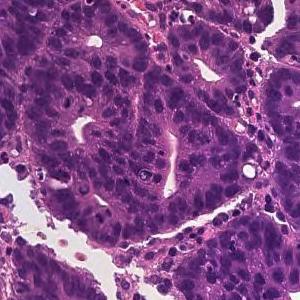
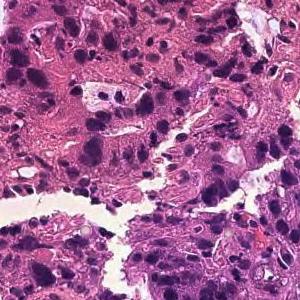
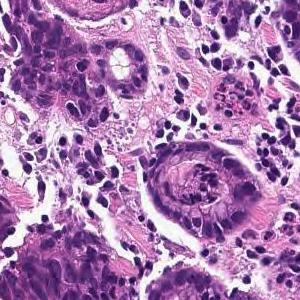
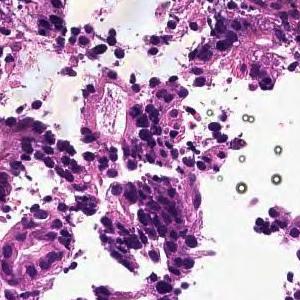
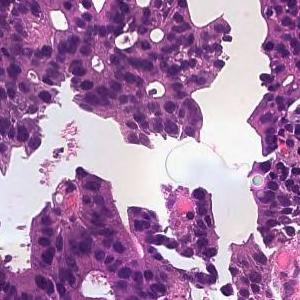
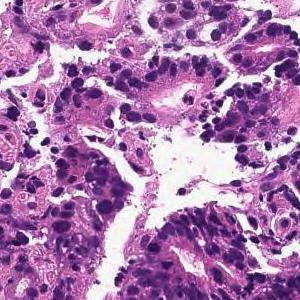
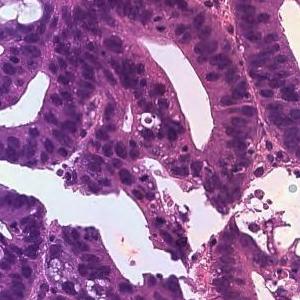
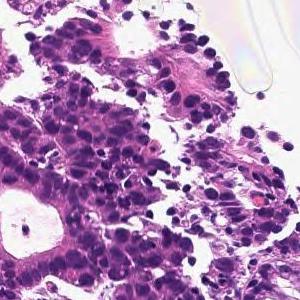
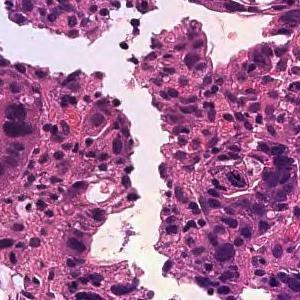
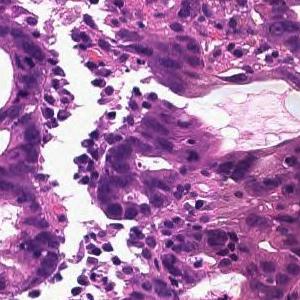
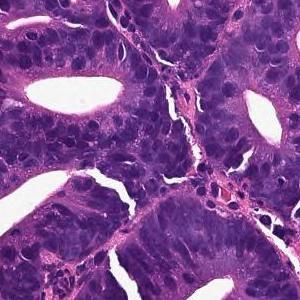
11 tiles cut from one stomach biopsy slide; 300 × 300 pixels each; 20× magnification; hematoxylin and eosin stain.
Pathology report for the slide these tiles were cut from. What the report and the diagnosis say applies to the whole slide; these tiles may miss some of the features named and may include tissue that is not tumor.
On the superficial epithelium, tumor tissue consisting of large irregular glandular ducts partially fused and infiltrated is observed. Well to moderately differentiated tubular adenocarcinoma (well differentiated tubular adenocarcinoma, moderately differentiated tubular adenocarcinoma)
Tumor subtype: well to moderately differentiated tubular adenocarcinoma.
